9 tiles from the same stomach biopsy slide, hematoxylin and eosin stain.
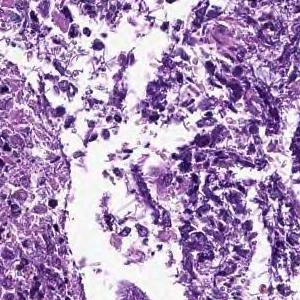
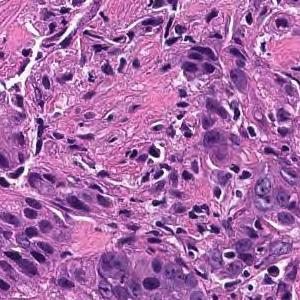
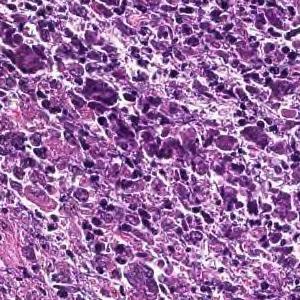
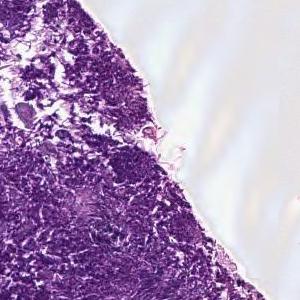
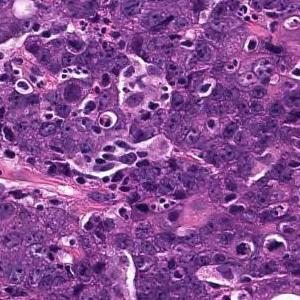
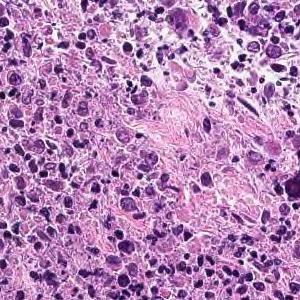
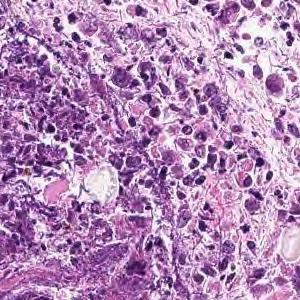
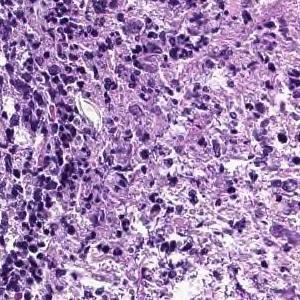
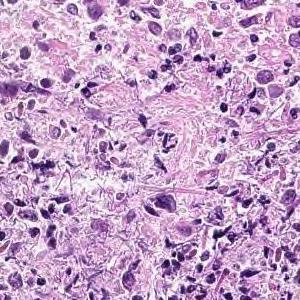
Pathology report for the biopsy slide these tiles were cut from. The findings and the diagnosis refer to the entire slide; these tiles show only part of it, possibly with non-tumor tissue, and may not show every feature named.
Cancers with polygonal nuclei do not show glandular formation and are densely, in part, cord-like and proliferate. Poorly differentiated adenocarcinoma
Classified as poorly differentiated adenocarcinoma, non-solid type.
The term "non-solid type" comes from the Japanese Classification of Gastric Carcinoma.
